×20; hematoxylin and eosin stain; 14 patches cut from one gastric biopsy slide; 300 × 300 pixels each.
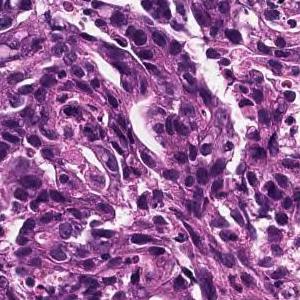
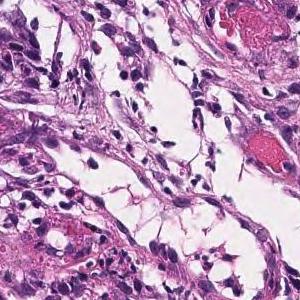
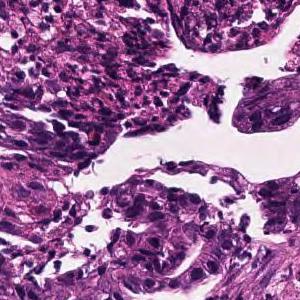
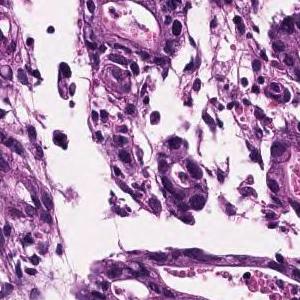
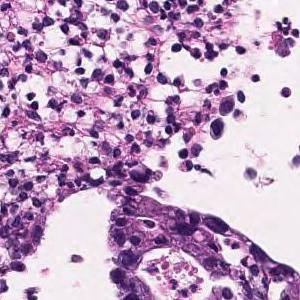
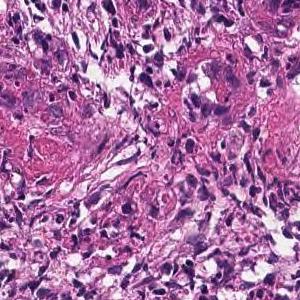
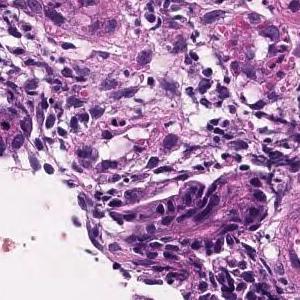
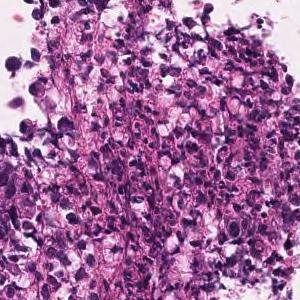
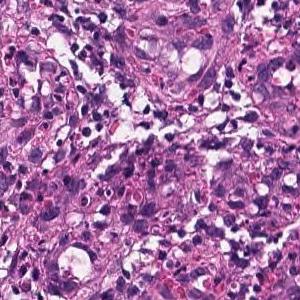
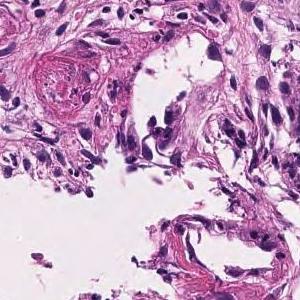
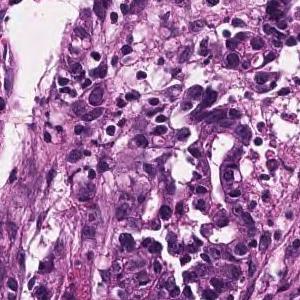
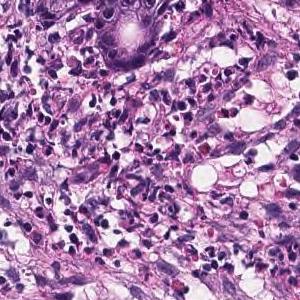
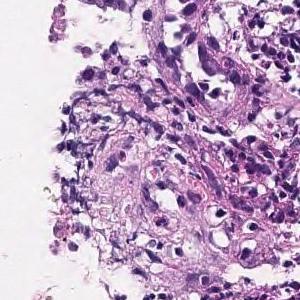
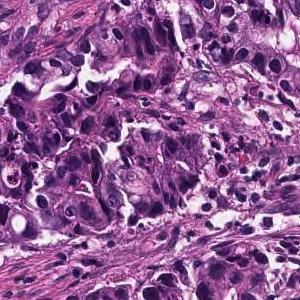
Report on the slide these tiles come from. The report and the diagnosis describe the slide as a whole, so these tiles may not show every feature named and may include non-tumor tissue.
In the superficial epithelium, medium to small, irregular gland ducts are formed, and in some cases, the gland ducts are fused to show solid alveolar lesions and infiltrating tumor tissue is observed. Moderately to poorly differentiated adenocarcinoma.
